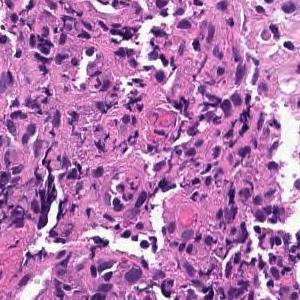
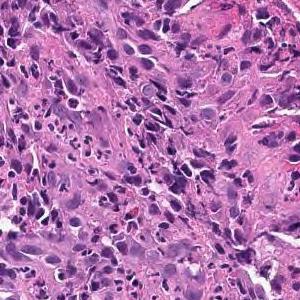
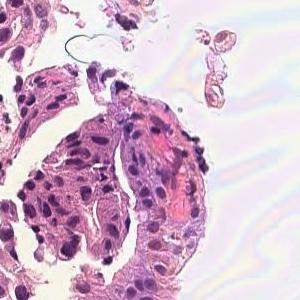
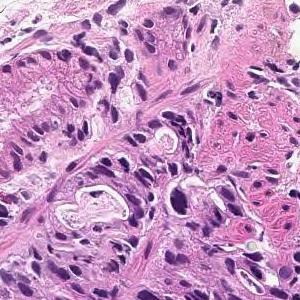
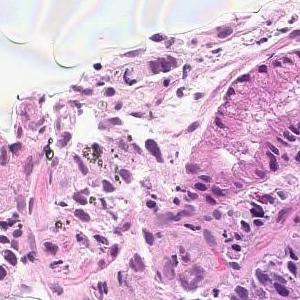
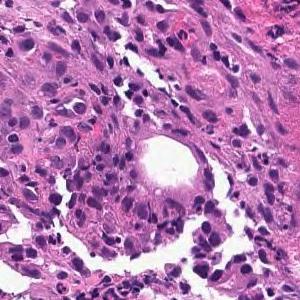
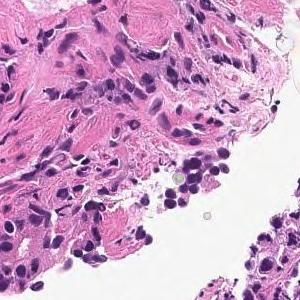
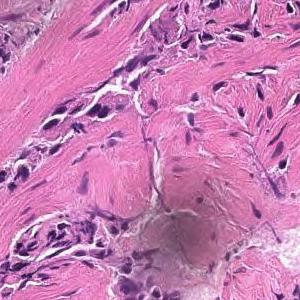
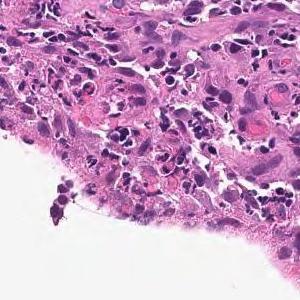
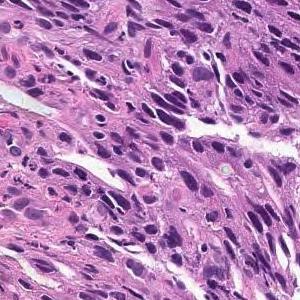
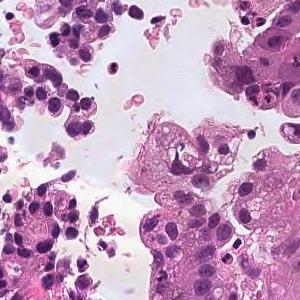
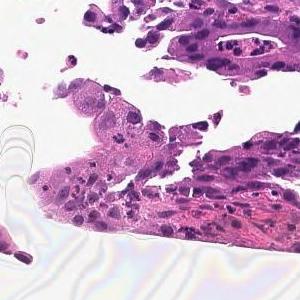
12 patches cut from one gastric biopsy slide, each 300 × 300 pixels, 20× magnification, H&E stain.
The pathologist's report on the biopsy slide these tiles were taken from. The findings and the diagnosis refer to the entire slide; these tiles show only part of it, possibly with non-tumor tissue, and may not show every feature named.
On the superficial epithelium, tumor tissue consisting of large irregular glandular ducts partially fused and infiltrated is observed. Well to moderately differentiated tubular adenocarcinoma (well differentiated tubular adenocarcinoma, moderately differentiated tubular adenocarcinoma)
Tumor subtype: well to moderately differentiated tubular adenocarcinoma.
